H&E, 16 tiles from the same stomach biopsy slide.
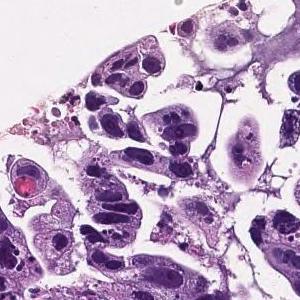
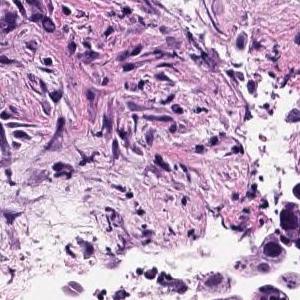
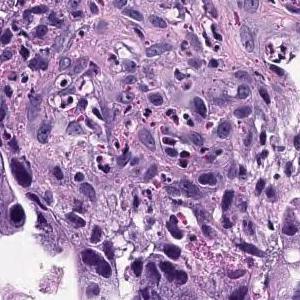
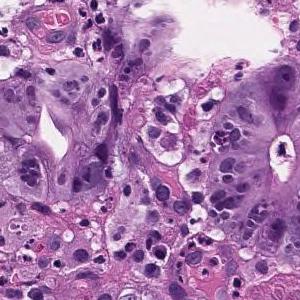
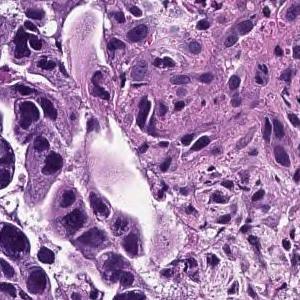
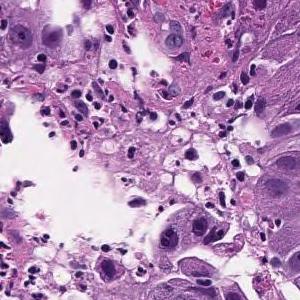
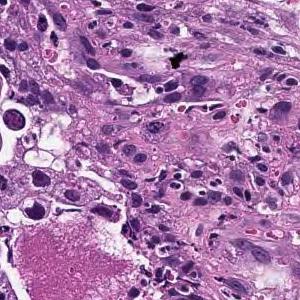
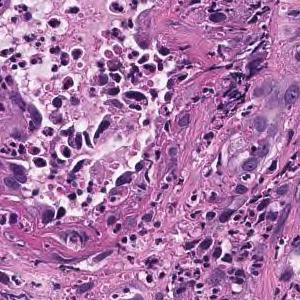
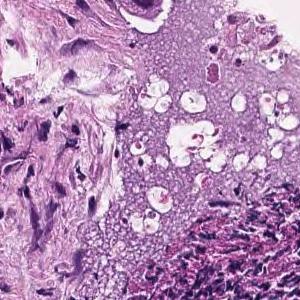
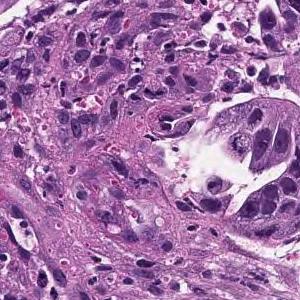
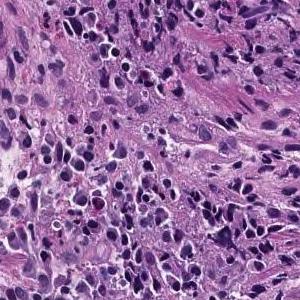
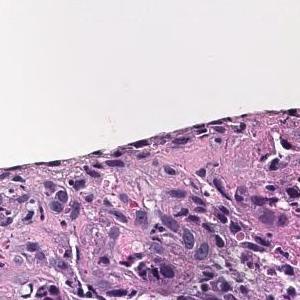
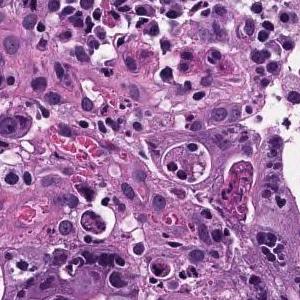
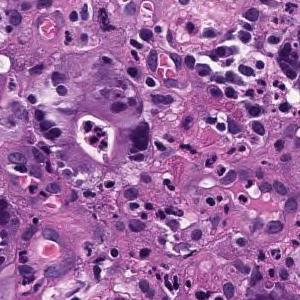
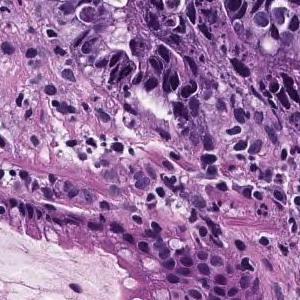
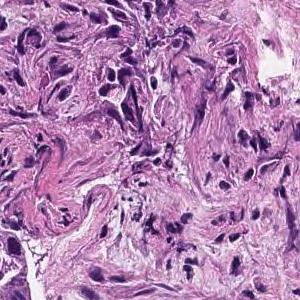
The pathologist's report on the biopsy slide these tiles were taken from. The report describes the whole slide, diagnosis included: not every finding it names need appear in these tiles, which may also show non-tumor tissue.
In the superficial epithelium, medium to small irregular gland ducts are formed, and in some cases, the ducts are fused to show solid alveolar lesions and infiltrating tumor tissue is observed. Moderately to poorly differentiated adenocarcinoma
